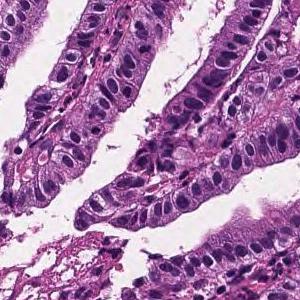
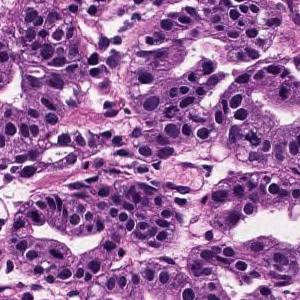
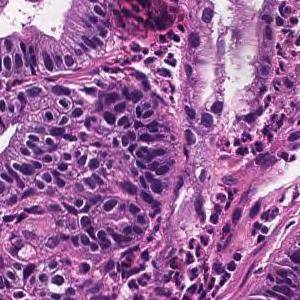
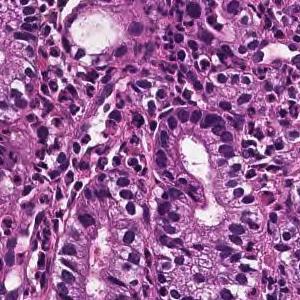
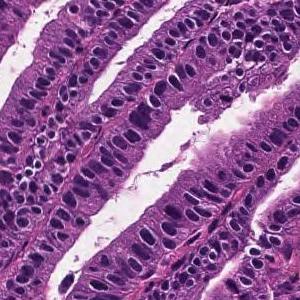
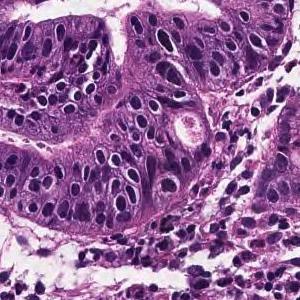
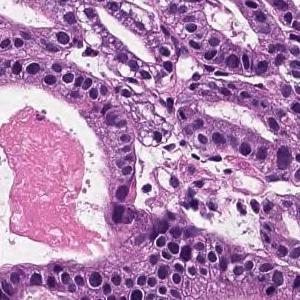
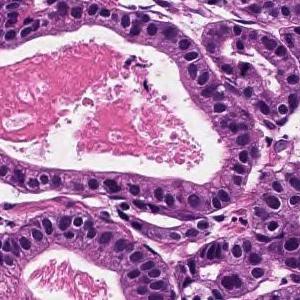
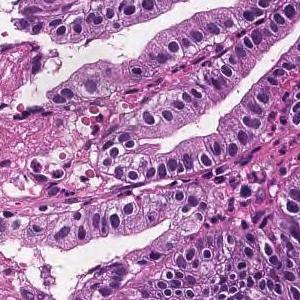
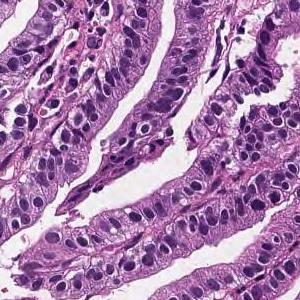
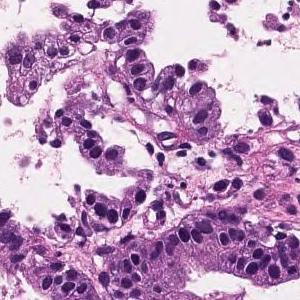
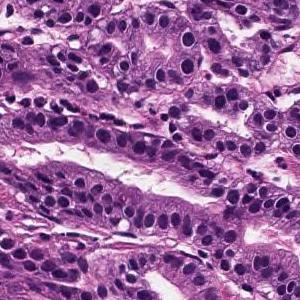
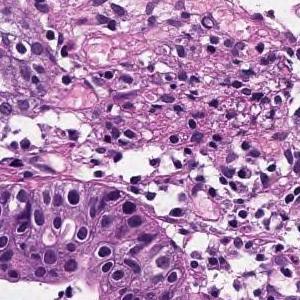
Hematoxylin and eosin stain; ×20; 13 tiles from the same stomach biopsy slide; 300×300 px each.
Report on the slide these tiles come from. What the report and the diagnosis say applies to the whole slide; these tiles may miss some of the features named and may include tissue that is not tumor.
On the superficial epithelium, tumor tissue that infiltrates by forming medium-sized round or small irregular ducts is observed. Papillary adenocarcinoma
